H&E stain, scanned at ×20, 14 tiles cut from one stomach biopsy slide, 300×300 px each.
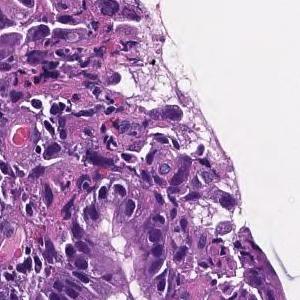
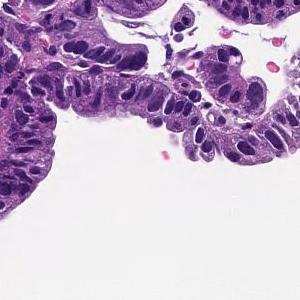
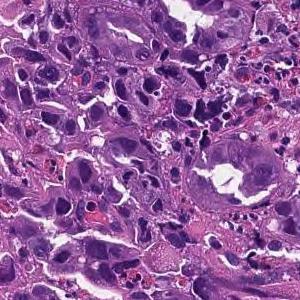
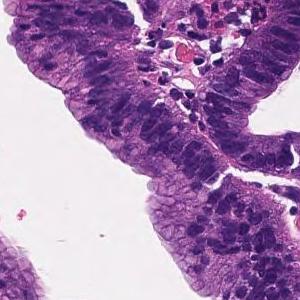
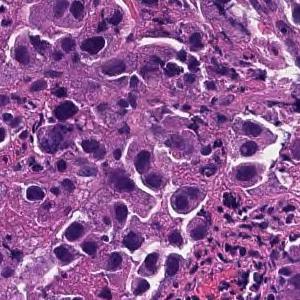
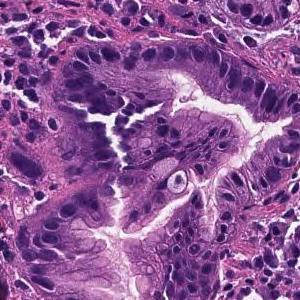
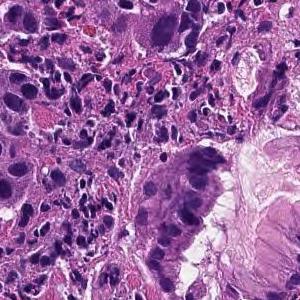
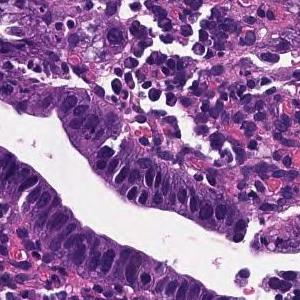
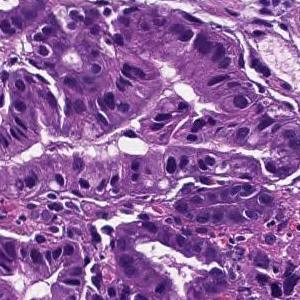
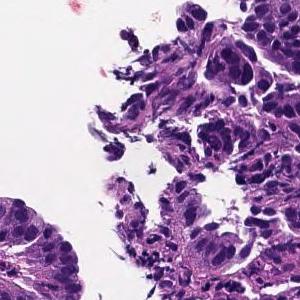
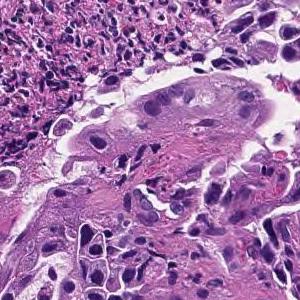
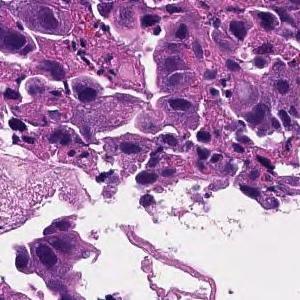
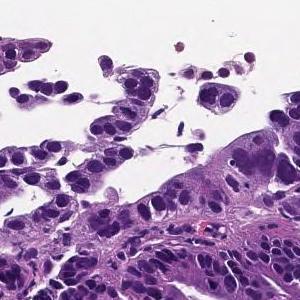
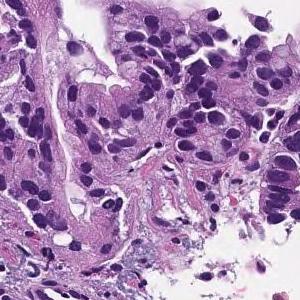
Diagnostic report for the slide these tiles come from. The report and the diagnosis cover the entire slide, so not every feature they name need be visible here, and some tissue shown may not be tumor.
Tumor tissue consisting of medium-sized, cord-like or irregular glandular infiltration is observed in the superficial epithelium. Poorly differentiated adenocarcinoma, non-solid type or moderately differentiated tubular adenocarcinoma
Subtype: Moderately to poorly differentiated adenocarcinoma.
The non-solid type named here is a Japanese Classification of Gastric Carcinoma category.
